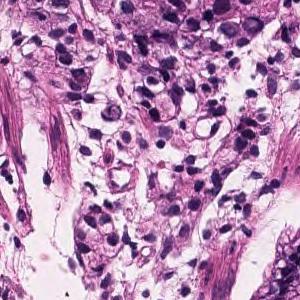
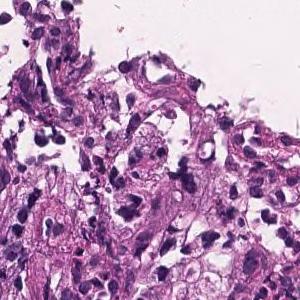
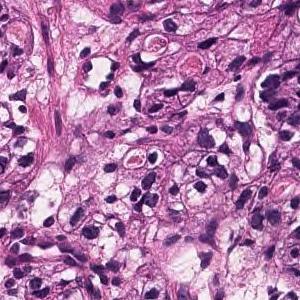
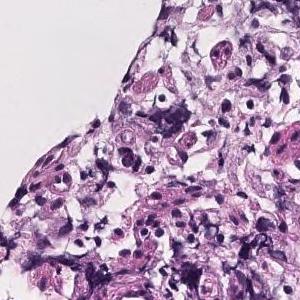
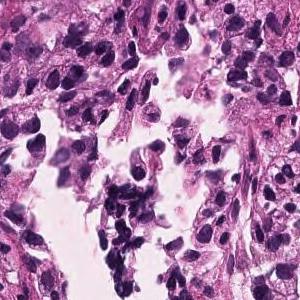
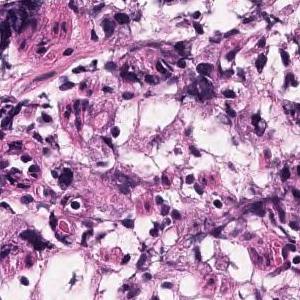
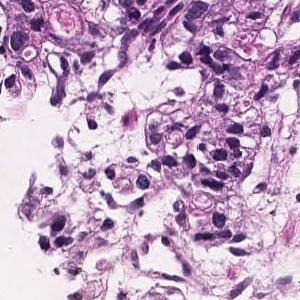
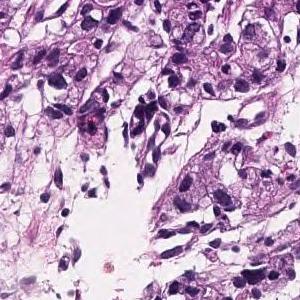
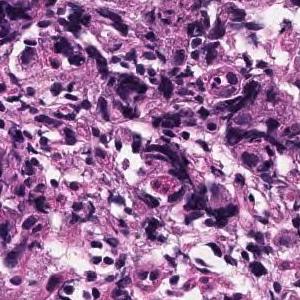
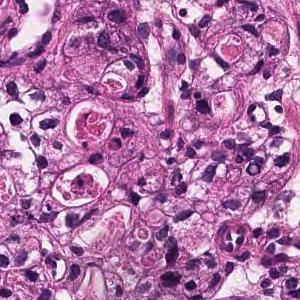
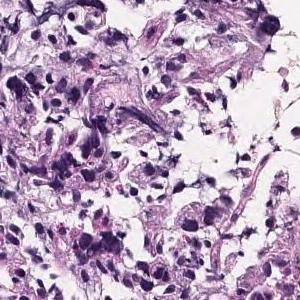
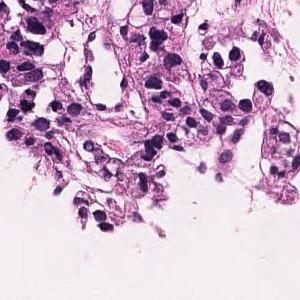
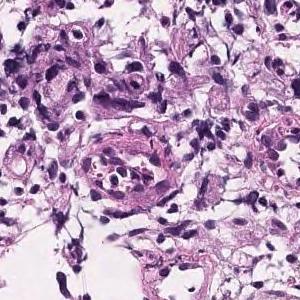
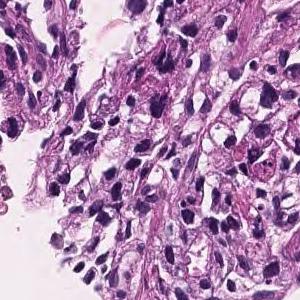
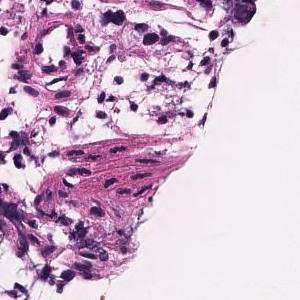
×20, 15 patches cut from one gastric biopsy slide.
The pathologist's report on the biopsy slide these tiles were taken from. Both the report and the diagnosis are for the whole slide: these tiles need not show every feature named, and some of the tissue shown may not be tumor.
Medium to small, irregular glandular ducts are formed in the superficial epithelium, and in some cases, the glandular ducts are fused to show solid alveolar lesions and infiltrating tumor tissue is observed. Moderately to poorly differentiated adenocarcinoma.
